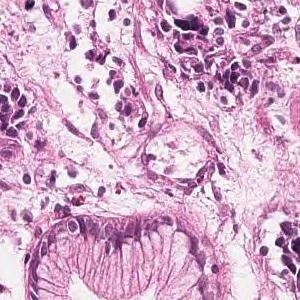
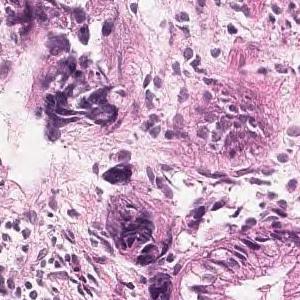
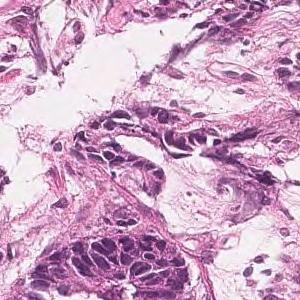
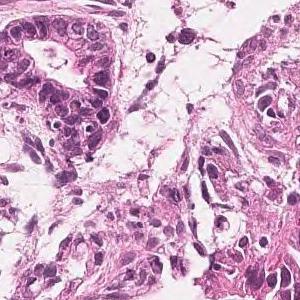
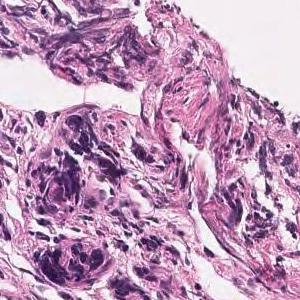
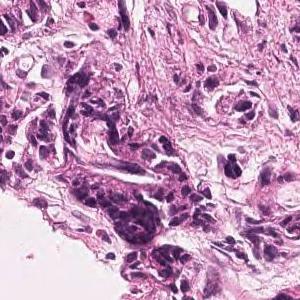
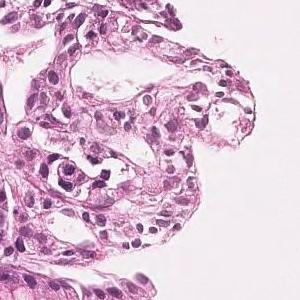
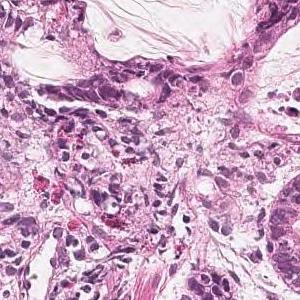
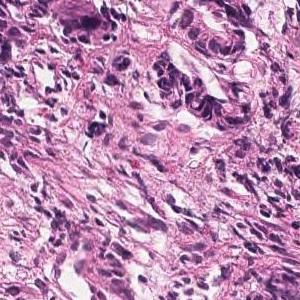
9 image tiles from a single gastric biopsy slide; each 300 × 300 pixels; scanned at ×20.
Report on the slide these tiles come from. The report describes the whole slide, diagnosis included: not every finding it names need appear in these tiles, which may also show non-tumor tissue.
On the superficial epithelium, tumor tissue consisting of large, irregular glandular ducts partially fused and infiltrated is observed. Well to moderately differentiated tubular adenocarcinoma (well differentiated tubular adenocarcinoma, moderately differentiated tubular adenocarcinoma)
Subtype: Well to moderately differentiated tubular adenocarcinoma.
